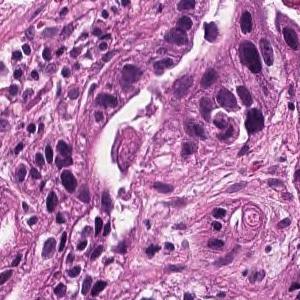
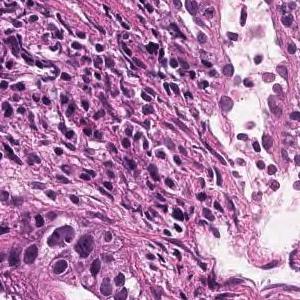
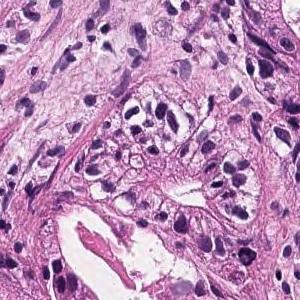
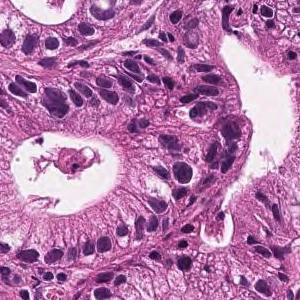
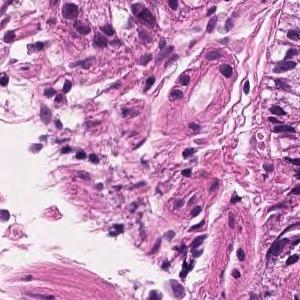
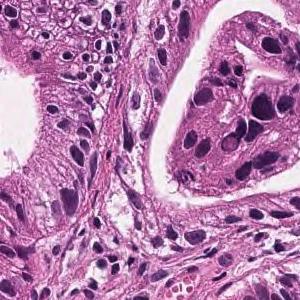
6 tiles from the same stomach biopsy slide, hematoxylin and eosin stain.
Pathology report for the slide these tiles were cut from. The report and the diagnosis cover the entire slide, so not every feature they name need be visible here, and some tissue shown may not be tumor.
From the superficial epithelium to the muscularis mucosae, tumor tissue infiltrating by forming medium-sized irregular gland ducts is observed. Large tumor cells exhibit large nucleus and hyperchromatism. Well differentiated tubular adenocarcinoma
